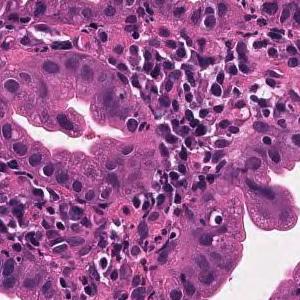
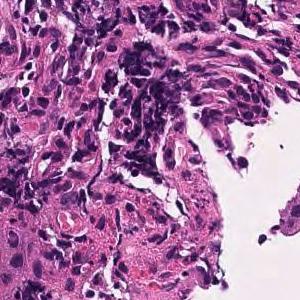
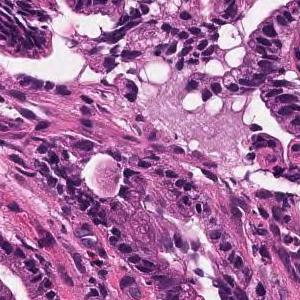
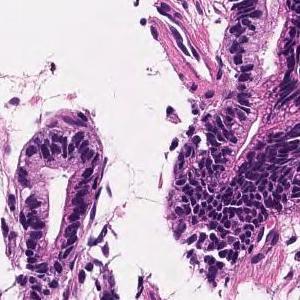
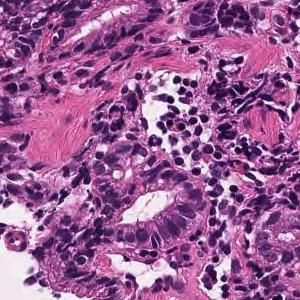
5 image tiles from a single gastric biopsy slide, 300 × 300 pixels each.
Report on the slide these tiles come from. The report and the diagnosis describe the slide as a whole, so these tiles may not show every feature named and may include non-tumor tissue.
Tumor tissue in which medium to small irregular ducts infiltrate and proliferate in the submucosa can be seen in the epithelium. Well differentiated tubular adenocarcinoma
